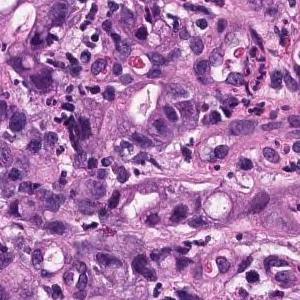
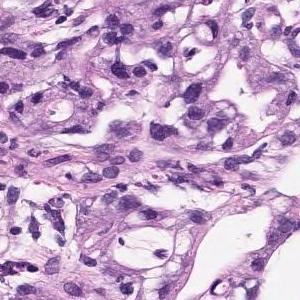
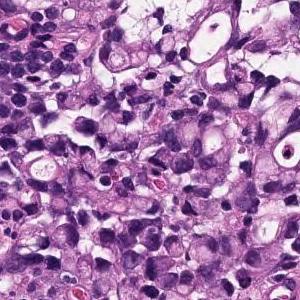
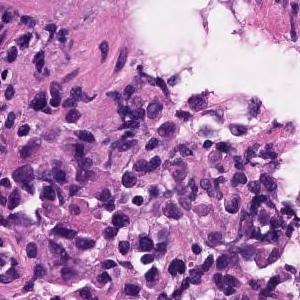
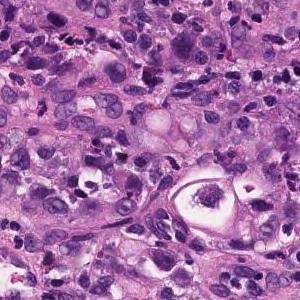
5 tiles cut from one stomach biopsy slide · ×20 · hematoxylin and eosin stain.
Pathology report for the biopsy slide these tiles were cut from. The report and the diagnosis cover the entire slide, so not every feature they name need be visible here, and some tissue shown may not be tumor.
Atypical epithelium forms irregularly fused gland ducts and proliferates. Poorly differentiated adenocarcinoma.
Histologic type: Poorly differentiated adenocarcinoma, non-solid type.
"Non-solid type" is a category of the Japanese Classification of Gastric Carcinoma.
